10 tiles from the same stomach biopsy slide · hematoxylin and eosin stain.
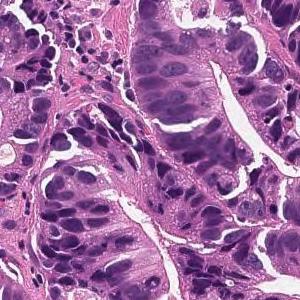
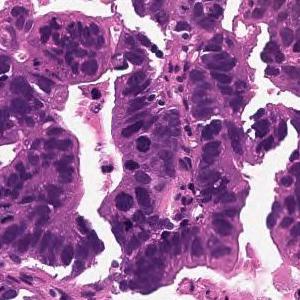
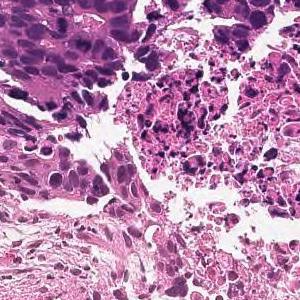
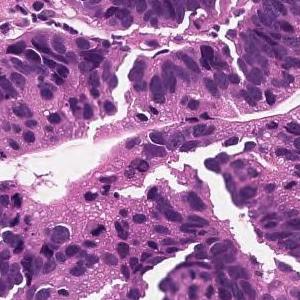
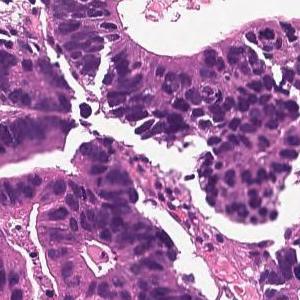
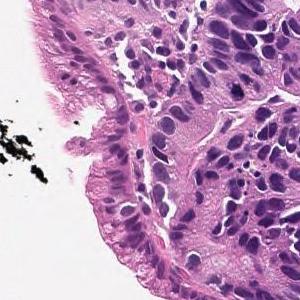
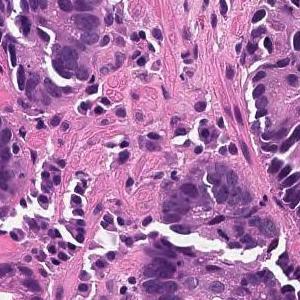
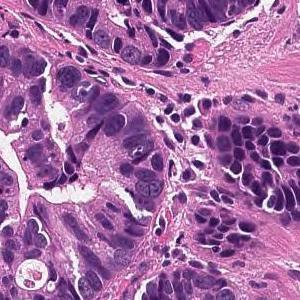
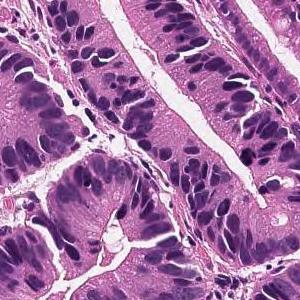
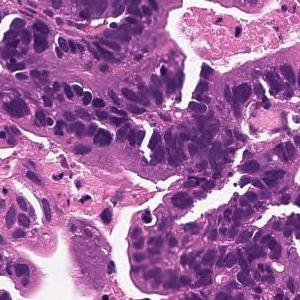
Pathology report for the slide these tiles were cut from. Both the report and the diagnosis are for the whole slide: these tiles need not show every feature named, and some of the tissue shown may not be tumor.
Tumor cells are large, highly columnar, large club-shaped nuclei, and are associated with chromatin aggregation. Papillary adenocarcinoma.
